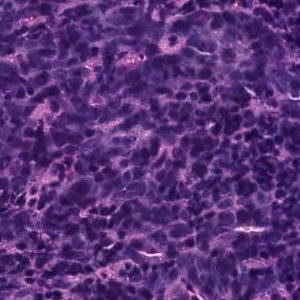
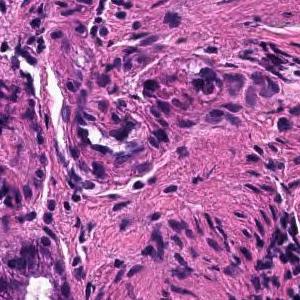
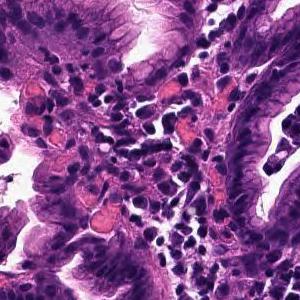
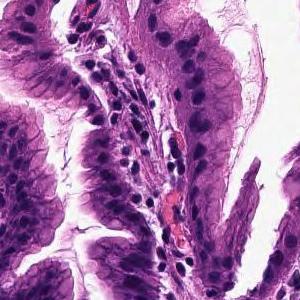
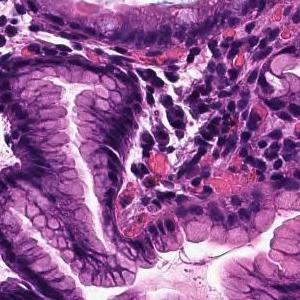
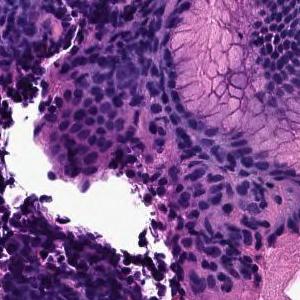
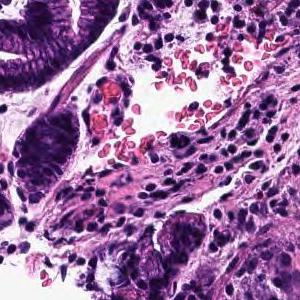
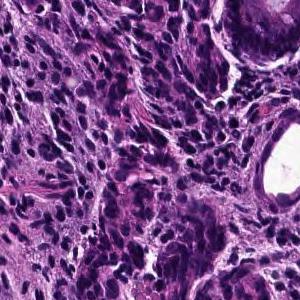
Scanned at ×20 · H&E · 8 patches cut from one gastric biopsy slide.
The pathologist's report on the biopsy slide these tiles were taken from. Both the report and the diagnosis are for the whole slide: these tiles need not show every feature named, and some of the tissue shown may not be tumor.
The superficial epithelium shows a large sheet-like shape, and some tumor tissue infiltrates with small irregular ducts. Poorly differentiated adenocarcinoma, solid-type
Classified as poorly differentiated adenocarcinoma, solid type, a category of the Japanese Classification of Gastric Carcinoma; in the WHO 2019 classification it is tubular adenocarcinoma, poorly differentiated.
